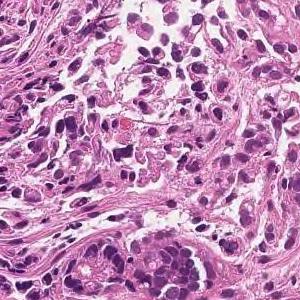
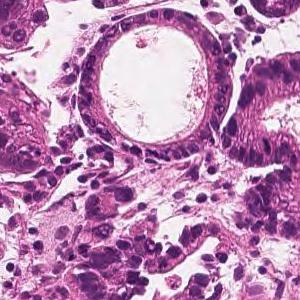
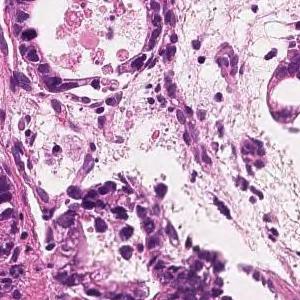
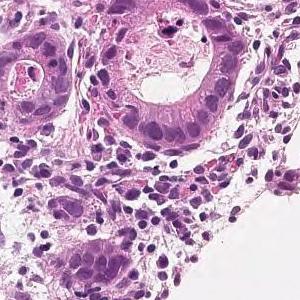
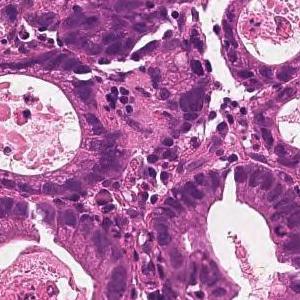
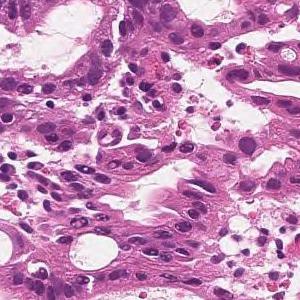
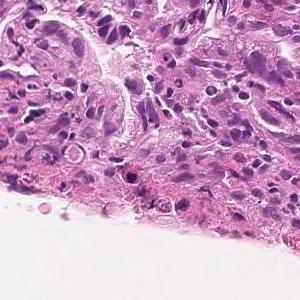
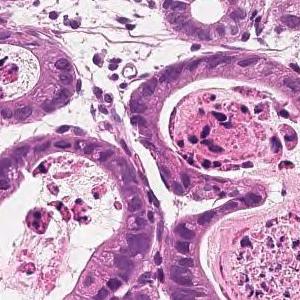
8 patches cut from one gastric biopsy slide · H&E · scanned at ×20.
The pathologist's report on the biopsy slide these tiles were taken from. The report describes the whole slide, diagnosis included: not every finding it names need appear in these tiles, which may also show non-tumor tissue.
On the superficial epithelium, tumor tissue is found in which medium-sized irregular gland ducts fuse with each other and infiltrate. moderately differentiated tubular adenocarcinoma
